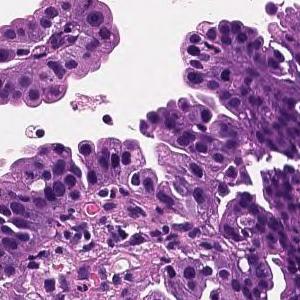
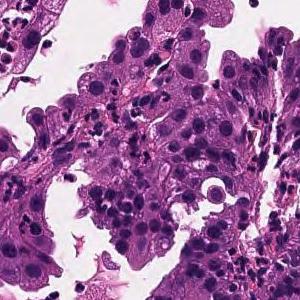
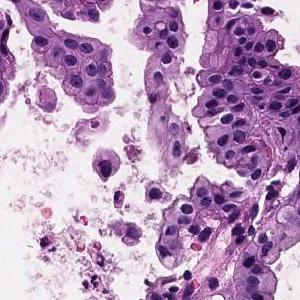
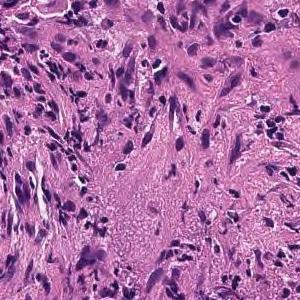
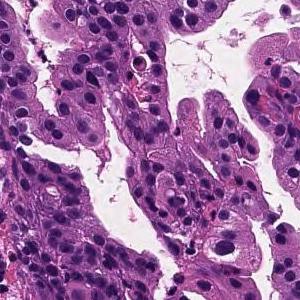
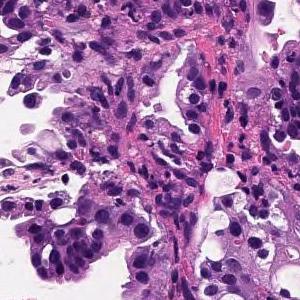
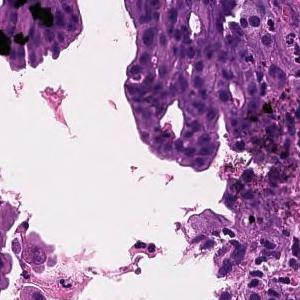
Scanned at ×20 · hematoxylin and eosin stain · 7 tiles cut from one stomach biopsy slide · 300×300 px each.
The pathologist's report on the biopsy slide these tiles were taken from. The report describes the whole slide, diagnosis included: not every finding it names need appear in these tiles, which may also show non-tumor tissue.
On the superficial epithelium, tumor tissue consisting of large, irregular glandular ducts partially fused and infiltrated is observed. Well to moderately differentiated tubular adenocarcinoma (well differentiated tubular adenocarcinoma, moderately differentiated tubular adenocarcinoma)
Histological subtype: Well to moderately differentiated tubular adenocarcinoma.
